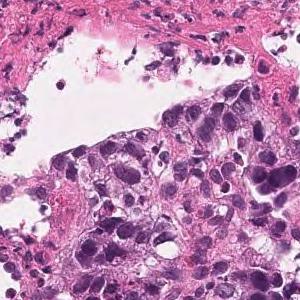
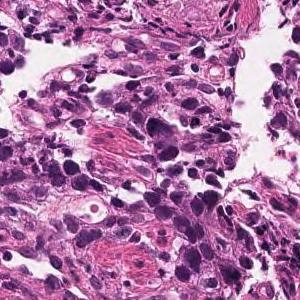
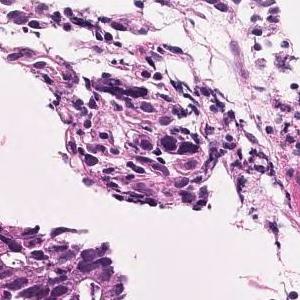
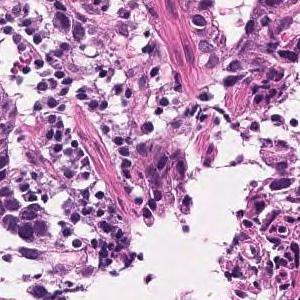
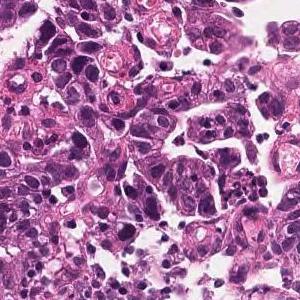
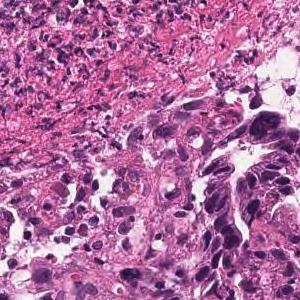
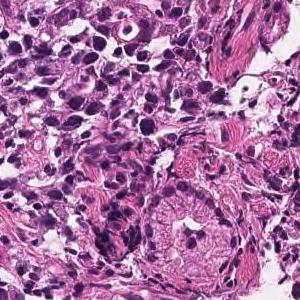
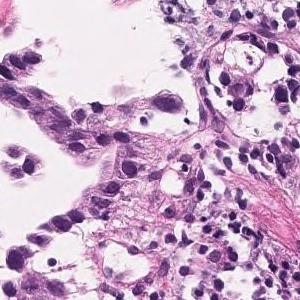
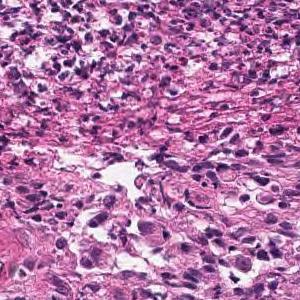
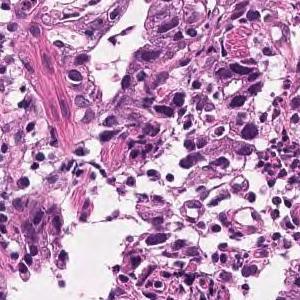
H&E stain, 10 image tiles from a single gastric biopsy slide.
Pathology report for the slide these tiles were cut from. Both the report and the diagnosis are for the whole slide: these tiles need not show every feature named, and some of the tissue shown may not be tumor.
In the superficial epithelium, tumor tissue that invades by forming medium-sized to small, irregular ducts is observed. Moderately differentiated adenocarcinoma.
Subtype: Moderately differentiated tubular adenocarcinoma.
